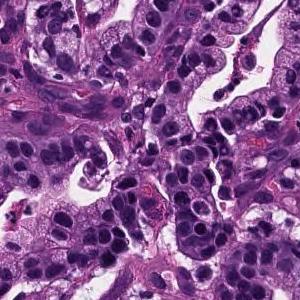
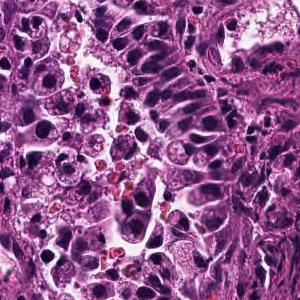
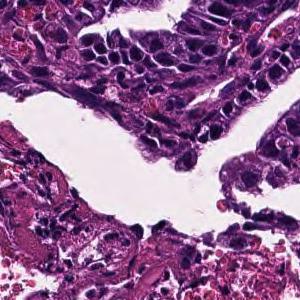
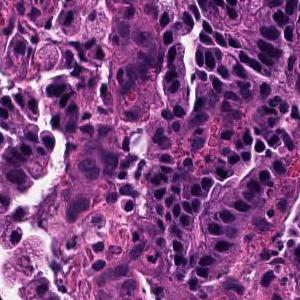
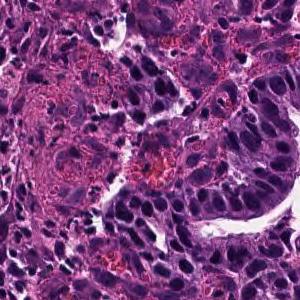
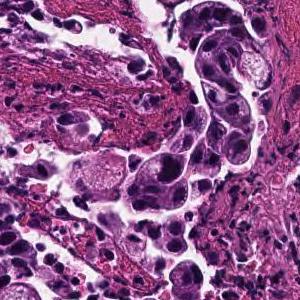
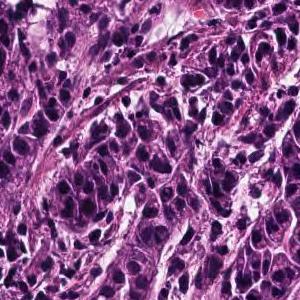
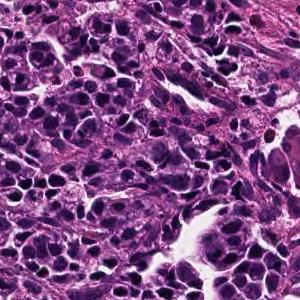
8 patches cut from one gastric biopsy slide · 300×300 px each · 20× magnification · H&E.
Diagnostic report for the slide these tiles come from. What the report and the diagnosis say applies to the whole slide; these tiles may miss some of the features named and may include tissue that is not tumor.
Tumor cells are large, highly columnar, large club-shaped nuclei, and are associated with chromatin aggregation. Papillary adenocarcinoma.
